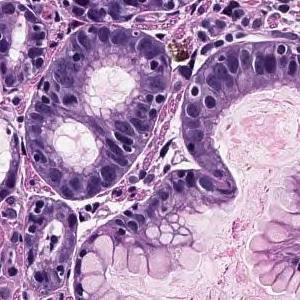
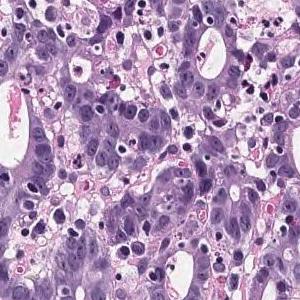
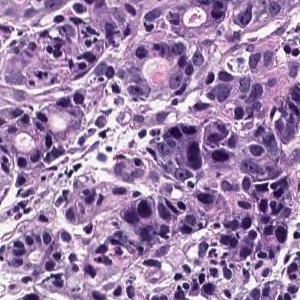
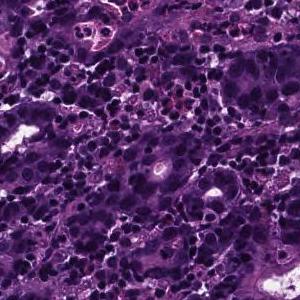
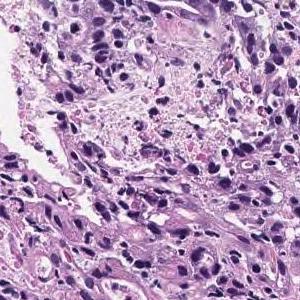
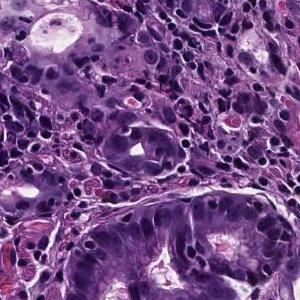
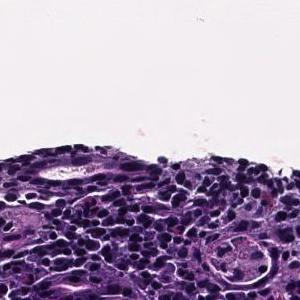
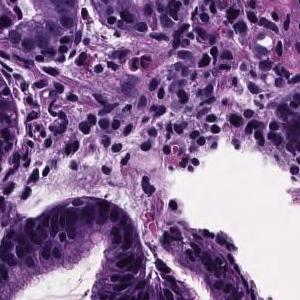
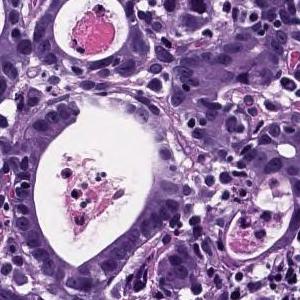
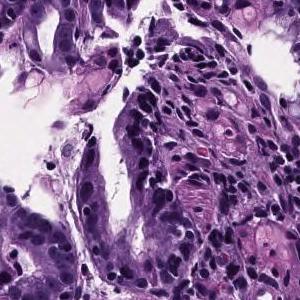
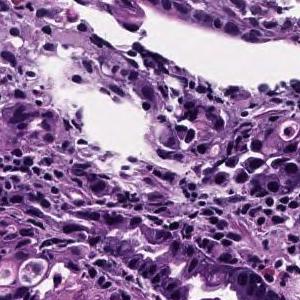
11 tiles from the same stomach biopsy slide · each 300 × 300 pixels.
Pathology report for the biopsy slide these tiles were cut from. The report describes the whole slide, diagnosis included: not every finding it names need appear in these tiles, which may also show non-tumor tissue.
In the superficial epithelium, tumor tissue that invades by forming medium-sized to small, irregular ducts is observed. moderately differentiated tubular adenocarcinoma.
